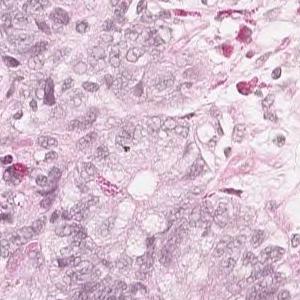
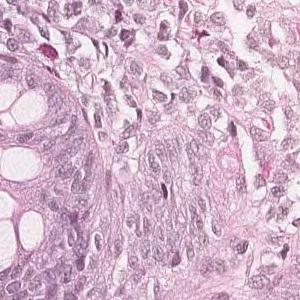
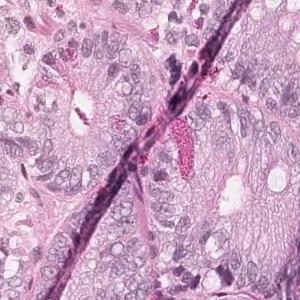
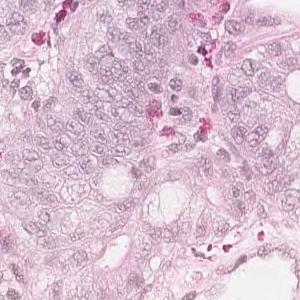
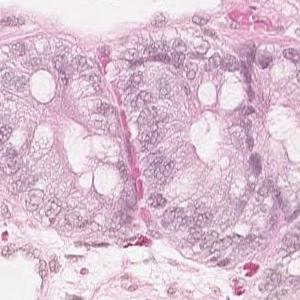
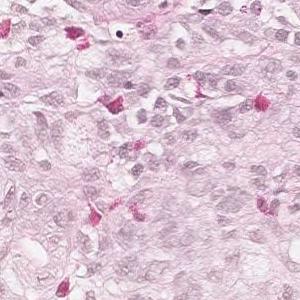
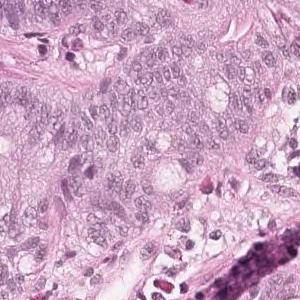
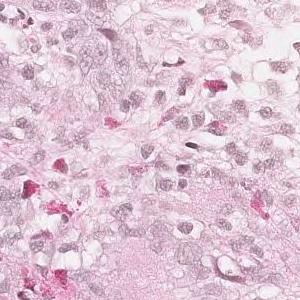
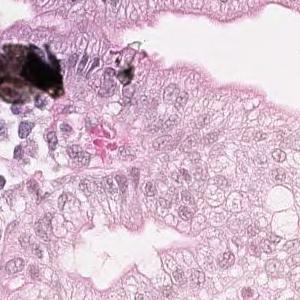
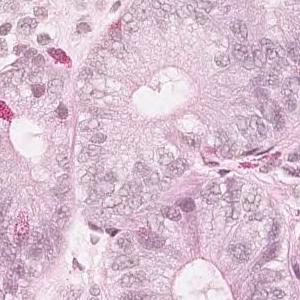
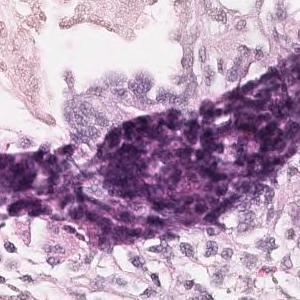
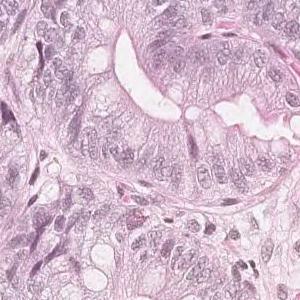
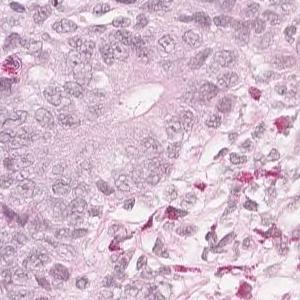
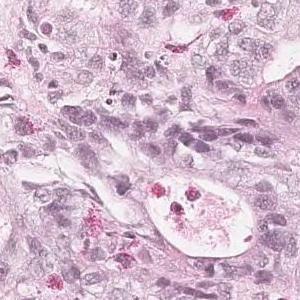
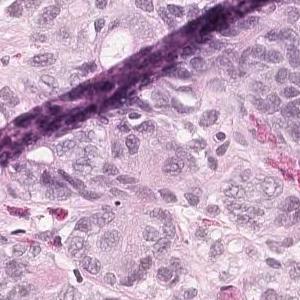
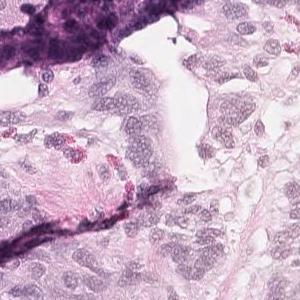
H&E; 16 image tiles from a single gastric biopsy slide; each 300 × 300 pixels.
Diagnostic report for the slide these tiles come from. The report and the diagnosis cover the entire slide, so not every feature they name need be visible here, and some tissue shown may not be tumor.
Medium to small, irregular glandular ducts are formed in the superficial epithelium, and in some cases, the glandular ducts are fused to show solid alveolar lesions and infiltrating tumor tissue is observed. Moderately to poorly differentiated adenocarcinoma.
